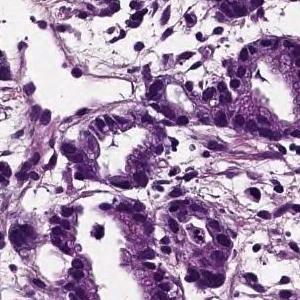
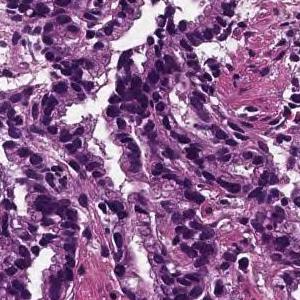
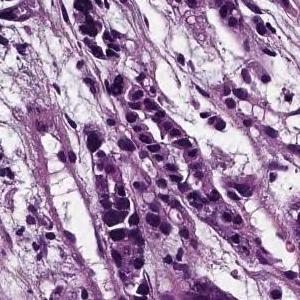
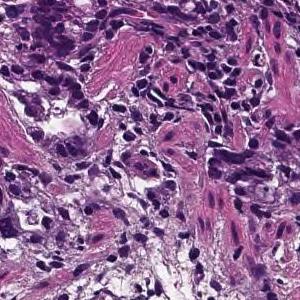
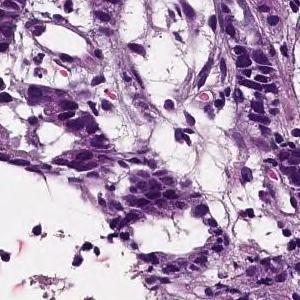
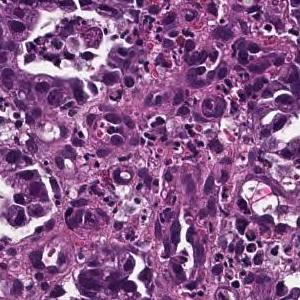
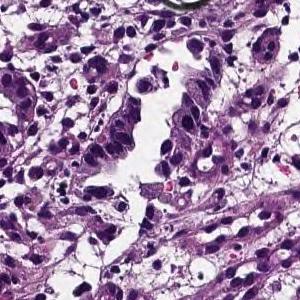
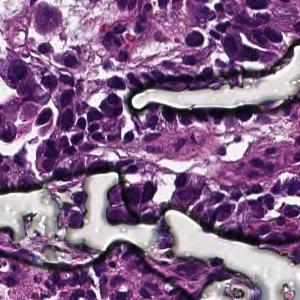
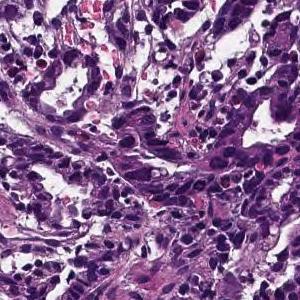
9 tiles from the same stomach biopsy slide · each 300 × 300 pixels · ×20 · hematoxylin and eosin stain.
Diagnostic report for the slide these tiles come from. What the report and the diagnosis say applies to the whole slide; these tiles may miss some of the features named and may include tissue that is not tumor.
Medium to small, irregular glandular ducts are formed in the superficial epithelium, and in some cases, the glandular ducts are fused to show solid alveolar lesions and infiltrating tumor tissue is observed. Moderately to poorly differentiated adenocarcinoma.
